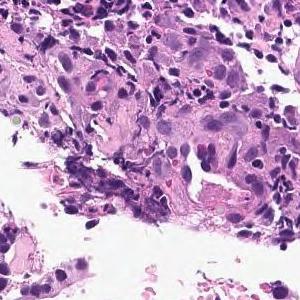
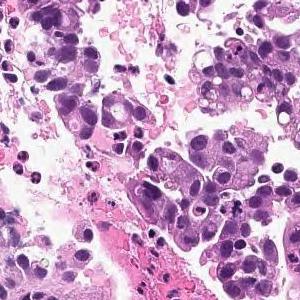
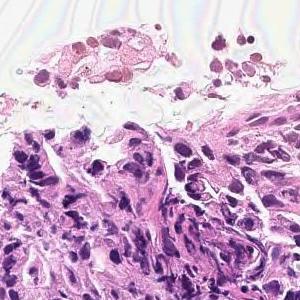
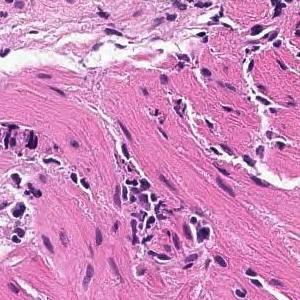
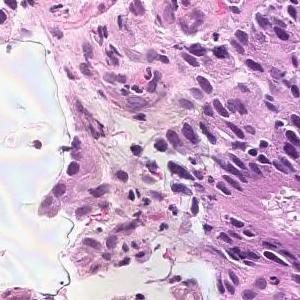
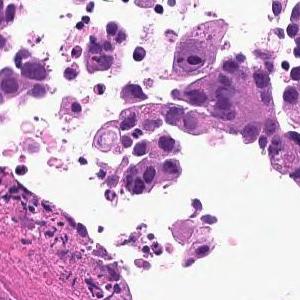
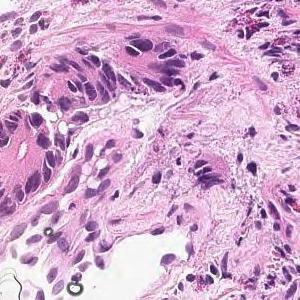
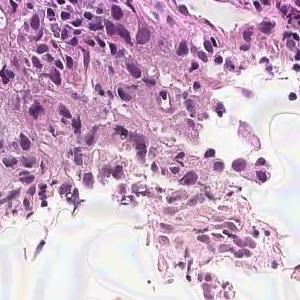
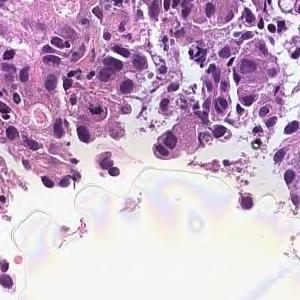
20× magnification, hematoxylin and eosin stain, 9 tiles from the same stomach biopsy slide, 300 × 300 pixels each.
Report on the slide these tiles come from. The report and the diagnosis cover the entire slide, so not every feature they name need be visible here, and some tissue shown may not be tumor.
On the superficial epithelium, tumor tissue consisting of large irregular glandular ducts partially fused and infiltrated is observed. Well to moderately differentiated tubular adenocarcinoma (well differentiated tubular adenocarcinoma, moderately differentiated tubular adenocarcinoma)
Tumor subtype: well to moderately differentiated tubular adenocarcinoma.
